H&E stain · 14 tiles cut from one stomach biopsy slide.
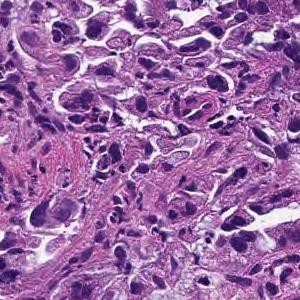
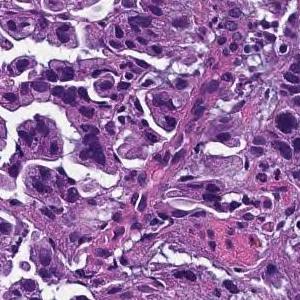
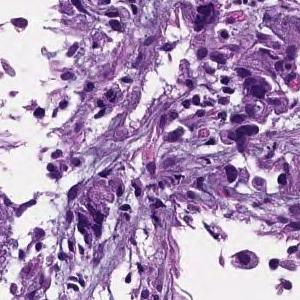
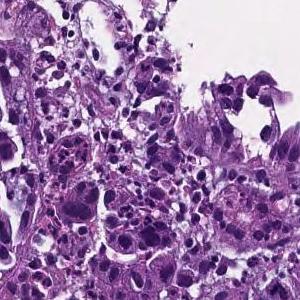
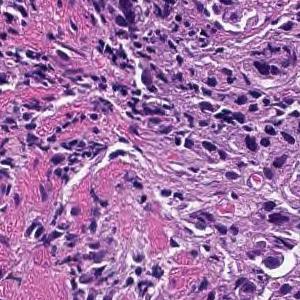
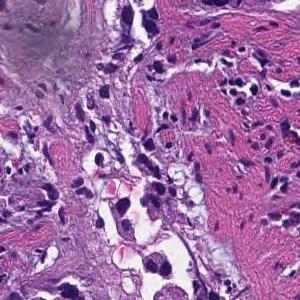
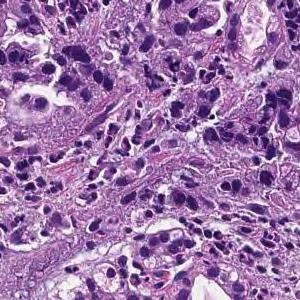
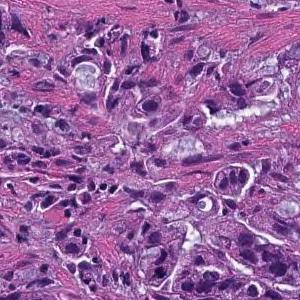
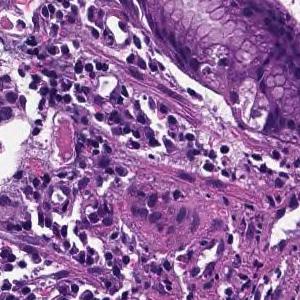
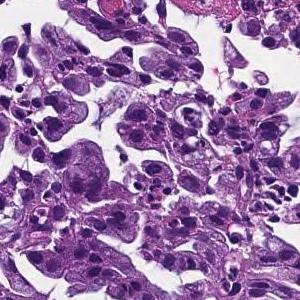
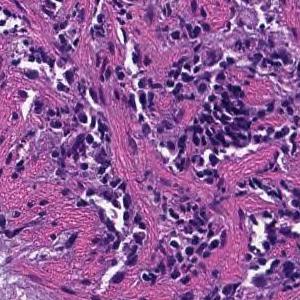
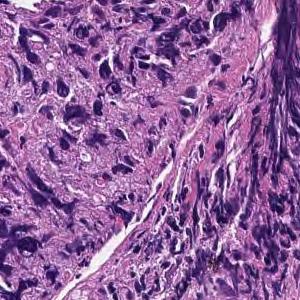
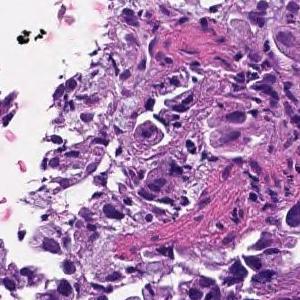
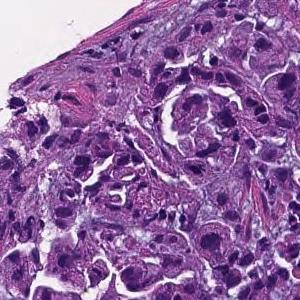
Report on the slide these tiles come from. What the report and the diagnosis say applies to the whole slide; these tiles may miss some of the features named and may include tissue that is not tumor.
Tumor tissue consisting of medium-sized, cord-like or irregular glandular infiltration is observed in the superficial epithelium. Poorly differentiated adenocarcinoma, non-solid type or moderately differentiated tubular adenocarcinoma
Classified as moderately to poorly differentiated adenocarcinoma.
The term "non-solid type" comes from the Japanese Classification of Gastric Carcinoma.
